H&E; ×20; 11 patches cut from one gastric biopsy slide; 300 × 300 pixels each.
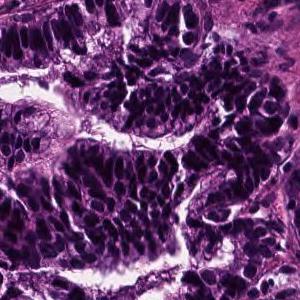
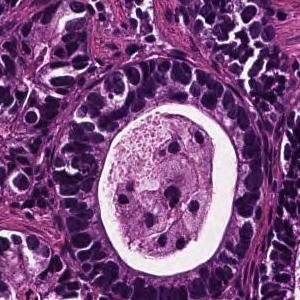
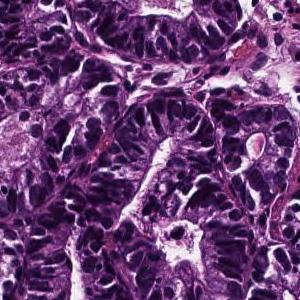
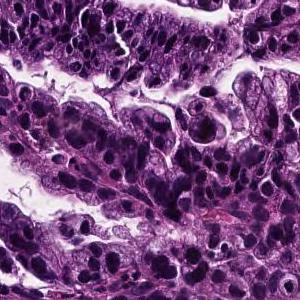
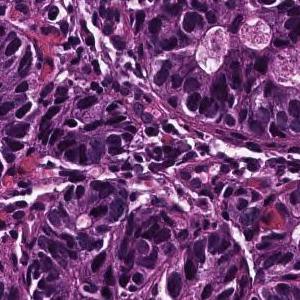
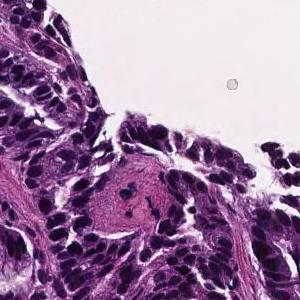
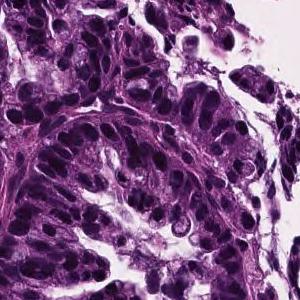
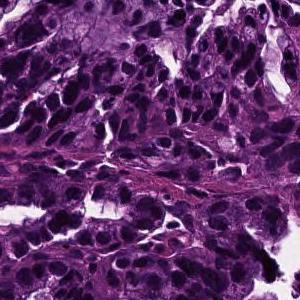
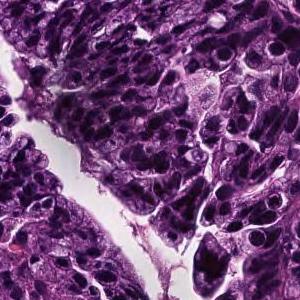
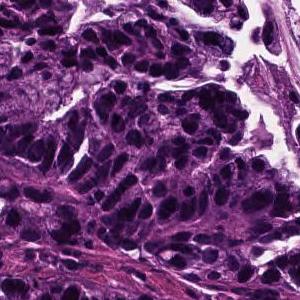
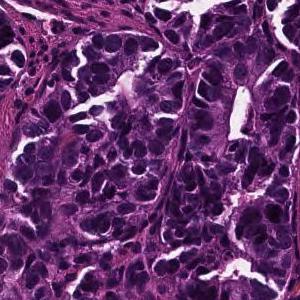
Pathology report for the biopsy slide these tiles were cut from. What the report and the diagnosis say applies to the whole slide; these tiles may miss some of the features named and may include tissue that is not tumor.
In the superficial epithelium, tumor tissue that invades by forming medium-sized to small, irregular ducts is observed. Well differentiated tubular adenocarcinoma.
